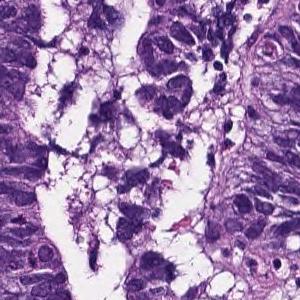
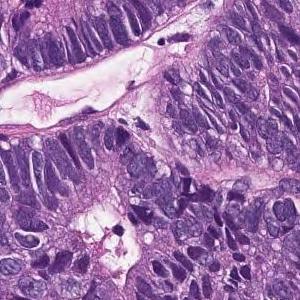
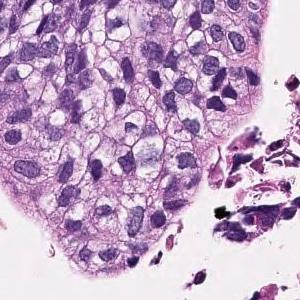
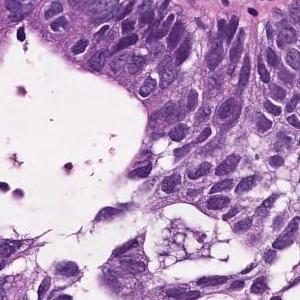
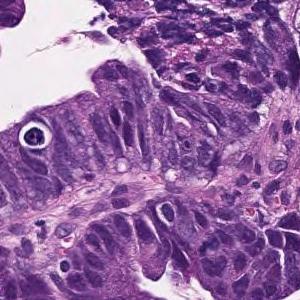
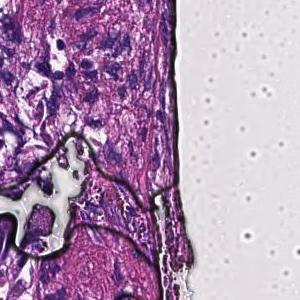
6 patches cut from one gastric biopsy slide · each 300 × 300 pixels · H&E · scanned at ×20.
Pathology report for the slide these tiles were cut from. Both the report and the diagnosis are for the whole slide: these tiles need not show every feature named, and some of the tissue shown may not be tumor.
In the superficial epithelium, tumor tissue that invades by forming medium-sized to small, irregular ducts is observed. moderately differentiated tubular adenocarcinoma.
